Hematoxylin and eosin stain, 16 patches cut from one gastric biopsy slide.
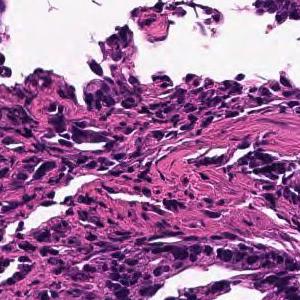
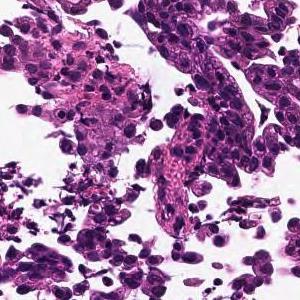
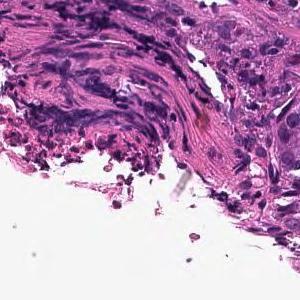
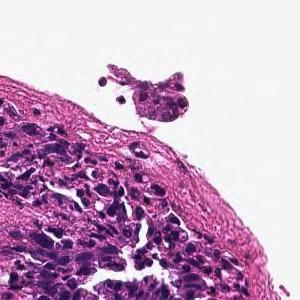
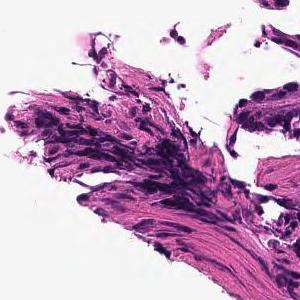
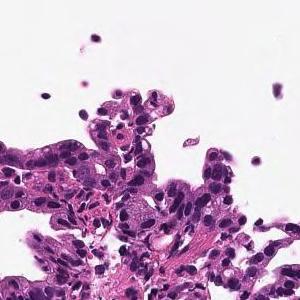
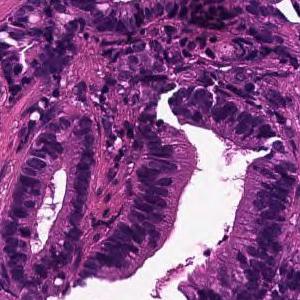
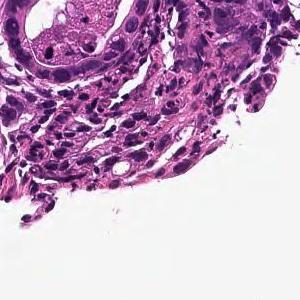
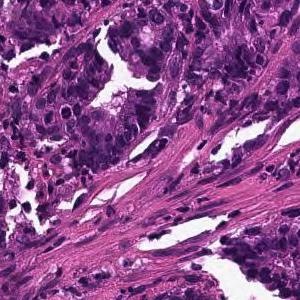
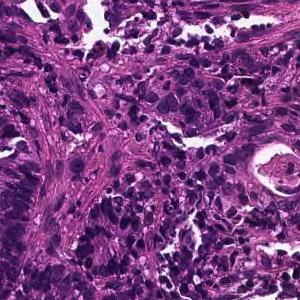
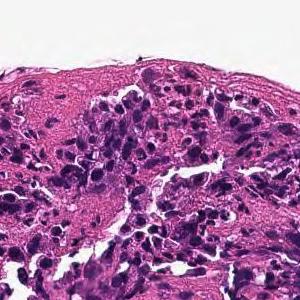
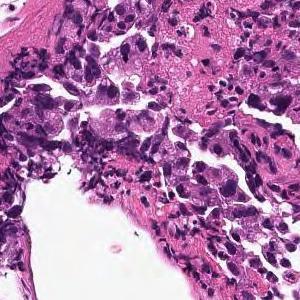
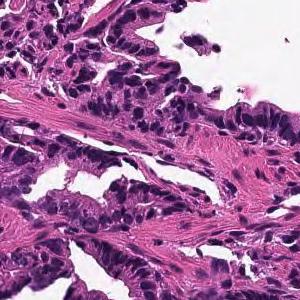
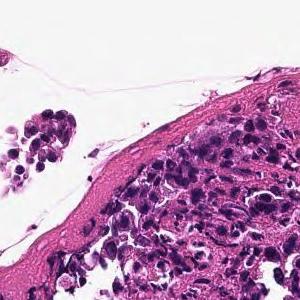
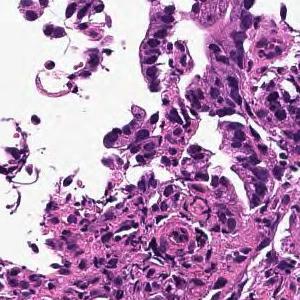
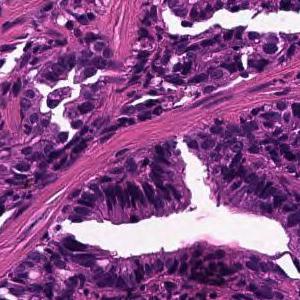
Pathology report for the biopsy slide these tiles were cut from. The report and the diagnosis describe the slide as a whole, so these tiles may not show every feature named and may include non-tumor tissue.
In the superficial epithelium, tumor tissue that invades by forming medium-sized to small, irregular ducts is observed. moderately differentiated tubular adenocarcinoma.
